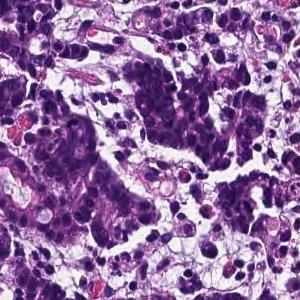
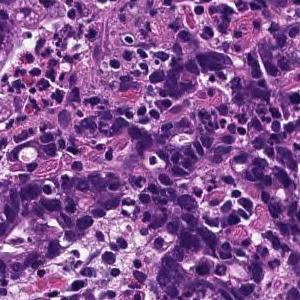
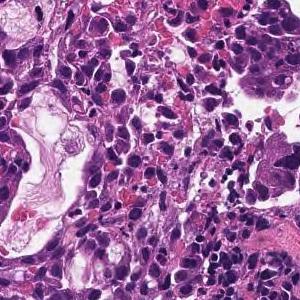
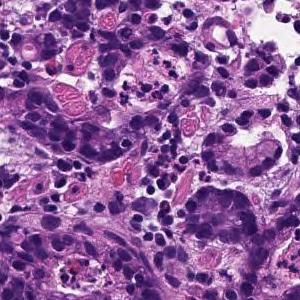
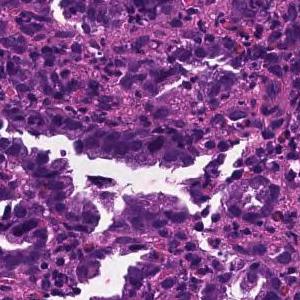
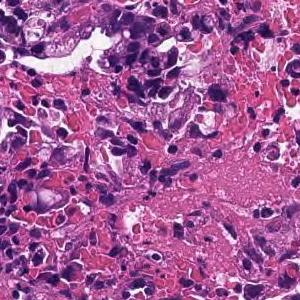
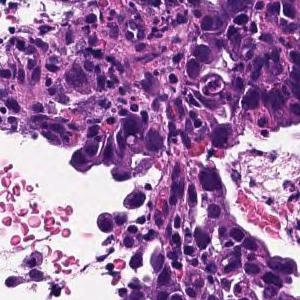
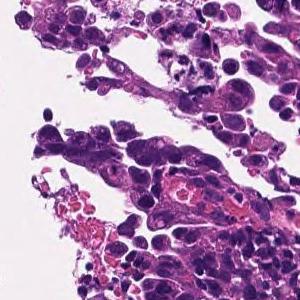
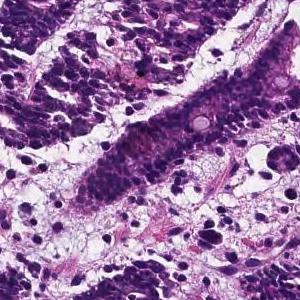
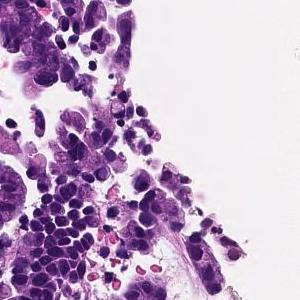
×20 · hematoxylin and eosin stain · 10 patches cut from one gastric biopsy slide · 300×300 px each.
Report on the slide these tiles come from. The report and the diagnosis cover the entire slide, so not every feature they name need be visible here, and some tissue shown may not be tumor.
In the superficial epithelium, tumor tissue that invades by forming medium-sized to small, irregular ducts is observed. moderately differentiated tubular adenocarcinoma.
